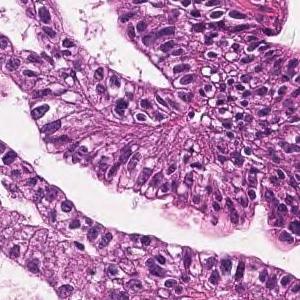
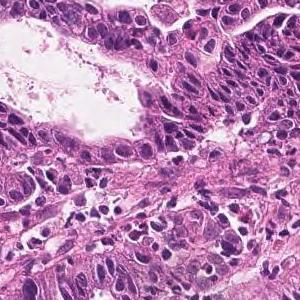
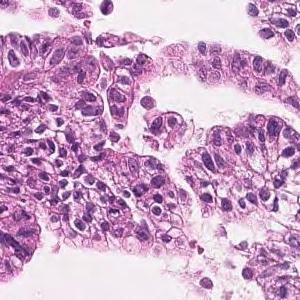
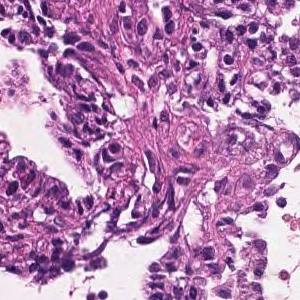
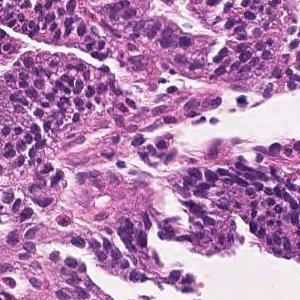
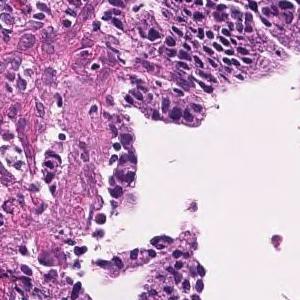
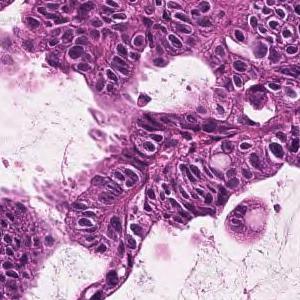
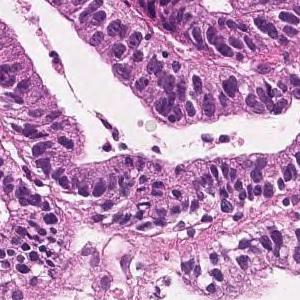
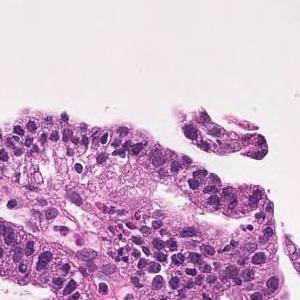
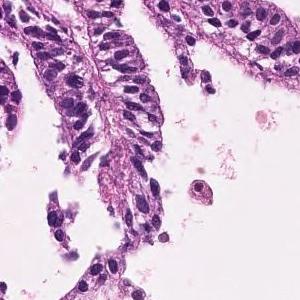
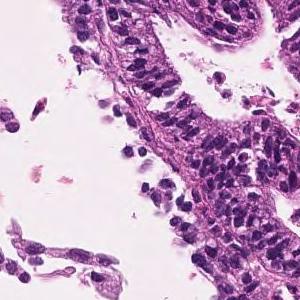
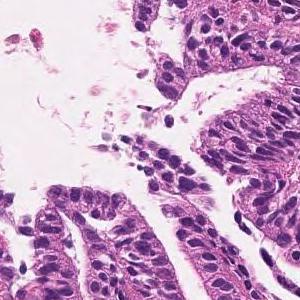
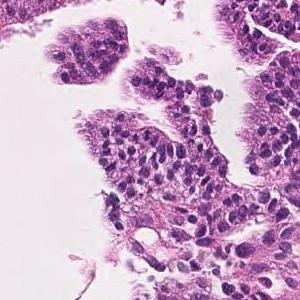
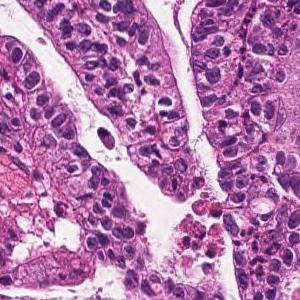
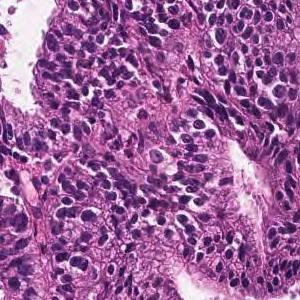
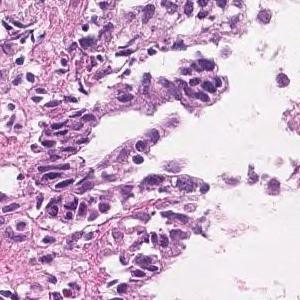
16 tiles from the same stomach biopsy slide · each 300 × 300 pixels · ×20.
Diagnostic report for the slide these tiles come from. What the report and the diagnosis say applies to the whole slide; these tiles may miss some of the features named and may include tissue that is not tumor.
Tumor cells are large, highly columnar, large club-shaped nuclei, and are associated with chromatin aggregation. Papillary adenocarcinoma.
